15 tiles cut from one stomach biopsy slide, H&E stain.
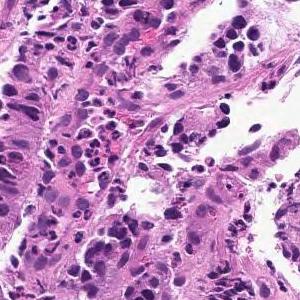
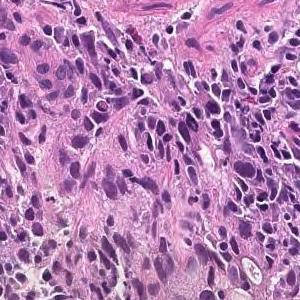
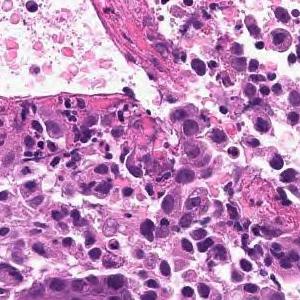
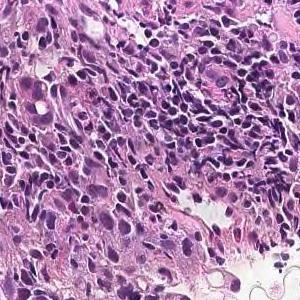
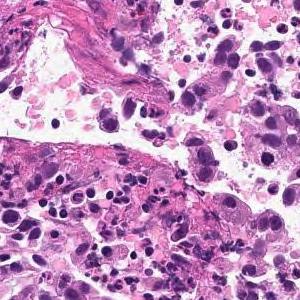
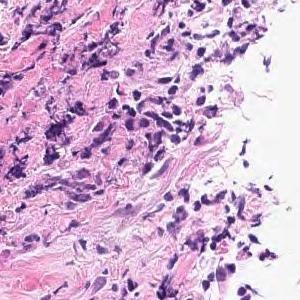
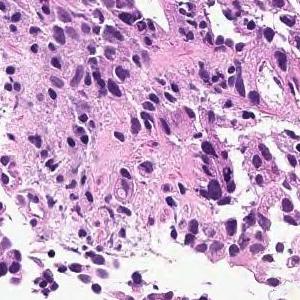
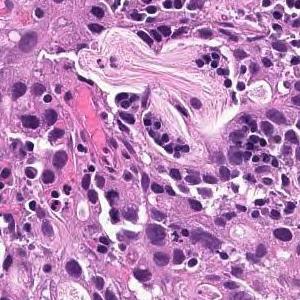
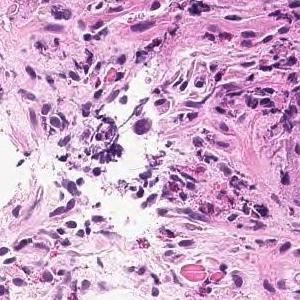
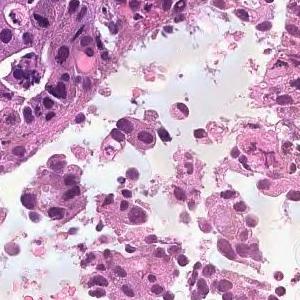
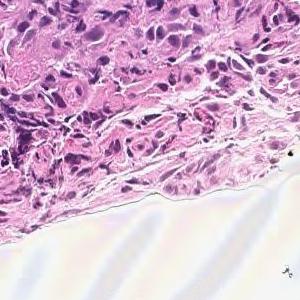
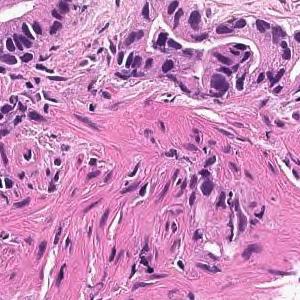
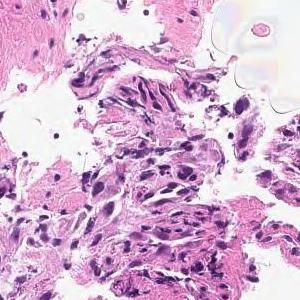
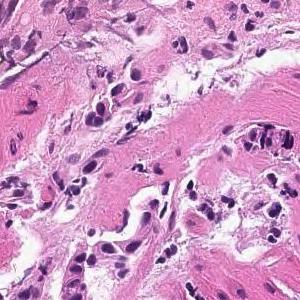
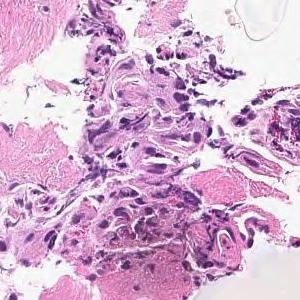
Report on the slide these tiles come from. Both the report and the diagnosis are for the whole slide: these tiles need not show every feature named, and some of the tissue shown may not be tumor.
On the superficial epithelium, tumor tissue consisting of large irregular glandular ducts partially fused and infiltrated is observed. Well to moderately differentiated tubular adenocarcinoma (well differentiated tubular adenocarcinoma, moderately differentiated tubular adenocarcinoma)
Histological subtype: Well to moderately differentiated tubular adenocarcinoma.
